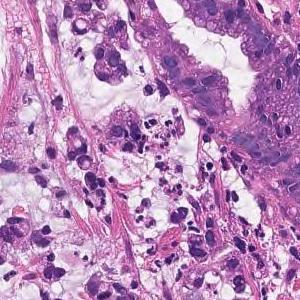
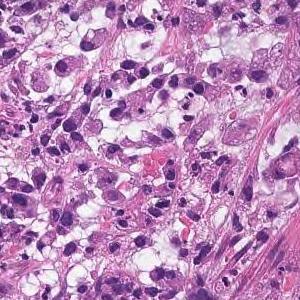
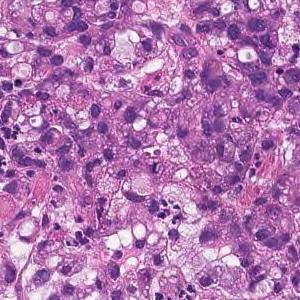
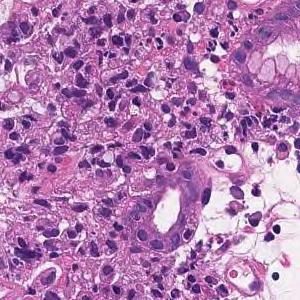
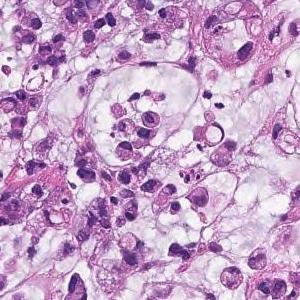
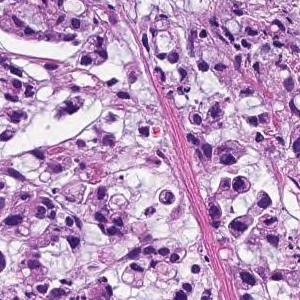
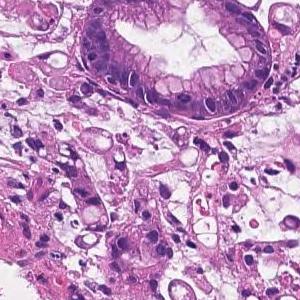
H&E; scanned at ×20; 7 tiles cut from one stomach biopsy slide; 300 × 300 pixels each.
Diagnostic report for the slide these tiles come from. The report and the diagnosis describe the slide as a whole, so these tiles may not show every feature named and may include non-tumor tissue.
Tumor tissue consisting of cord-like or small, irregular glandular ducts fused and infiltrated is observed in the superficial epithelium. Poorly differentiated adenocarcinoma, non-solid type
The non-solid type named here is a Japanese Classification of Gastric Carcinoma category.
